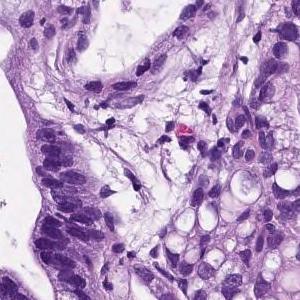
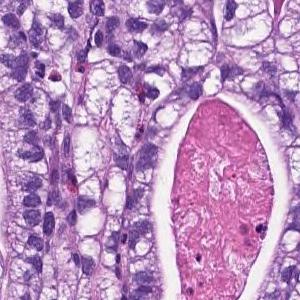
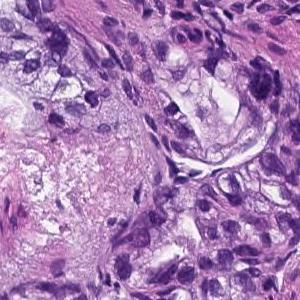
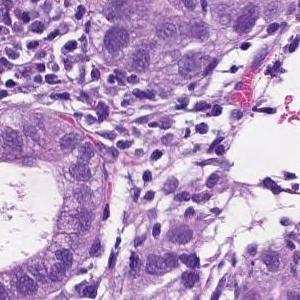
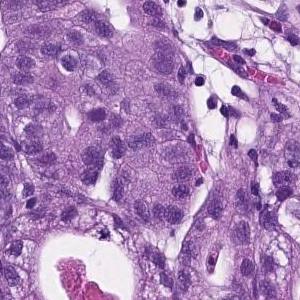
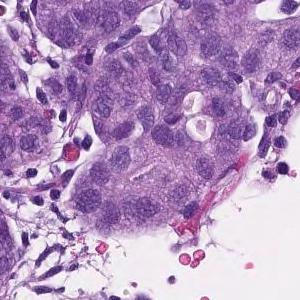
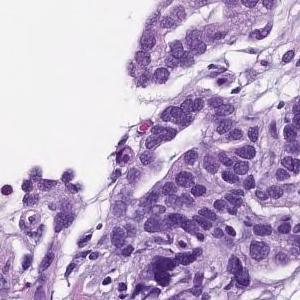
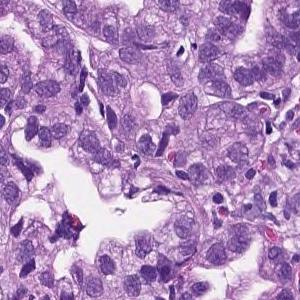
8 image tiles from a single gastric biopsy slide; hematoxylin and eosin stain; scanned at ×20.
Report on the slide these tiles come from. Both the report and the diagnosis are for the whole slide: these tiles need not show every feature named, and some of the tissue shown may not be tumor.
From the superficial epithelium to the muscularis mucosae, tumor tissue consisting of medium-sized and irregular glandular ducts infiltrating is observed. Well differentiated tubular adenocarcinoma
